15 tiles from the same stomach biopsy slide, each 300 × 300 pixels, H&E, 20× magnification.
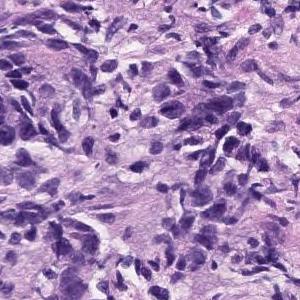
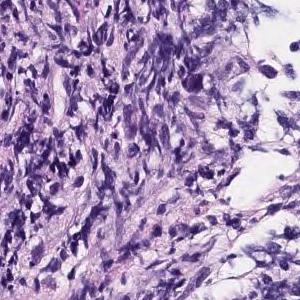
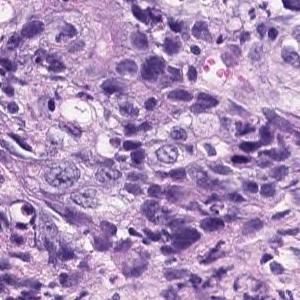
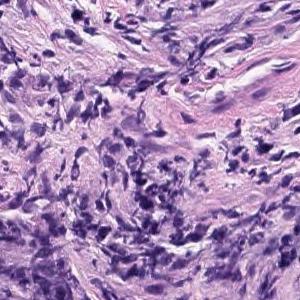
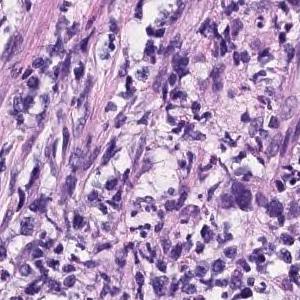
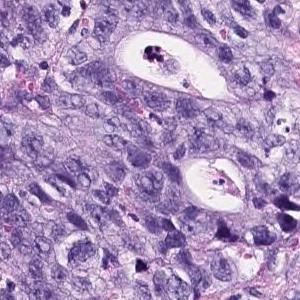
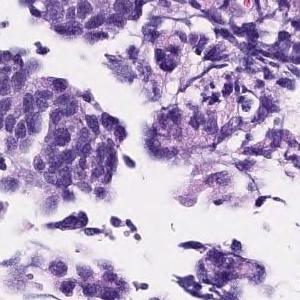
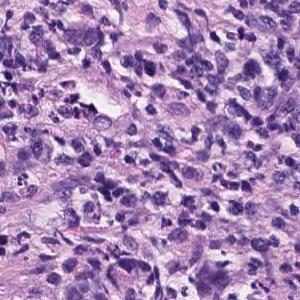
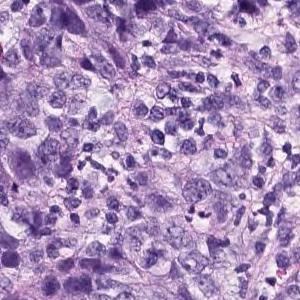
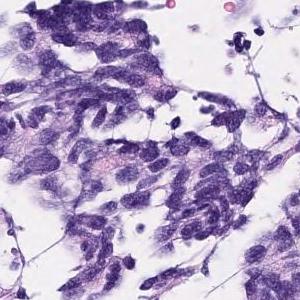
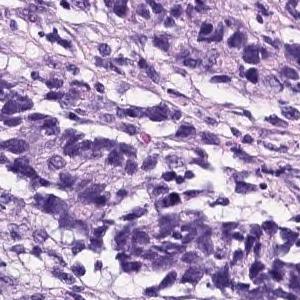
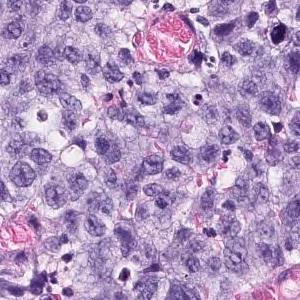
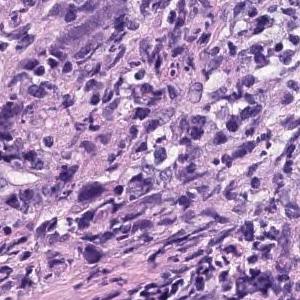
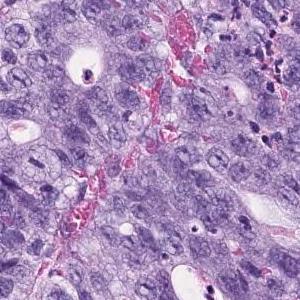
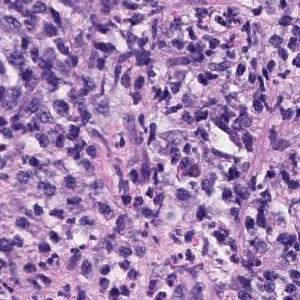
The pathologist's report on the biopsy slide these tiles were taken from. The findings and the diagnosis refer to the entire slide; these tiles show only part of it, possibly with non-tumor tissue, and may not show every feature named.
The superficial epithelium shows a large sheet-like shape, and some tumor tissue infiltrates with small irregular ducts. Poorly differentiated adenocarcinoma, solid-type
Tumor subtype: poorly differentiated adenocarcinoma, solid type, a category of the Japanese Classification of Gastric Carcinoma; in the WHO 2019 classification it is tubular adenocarcinoma, poorly differentiated.
